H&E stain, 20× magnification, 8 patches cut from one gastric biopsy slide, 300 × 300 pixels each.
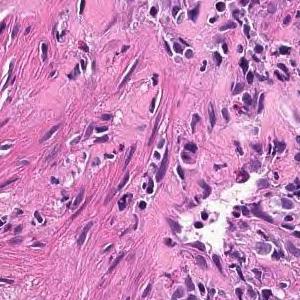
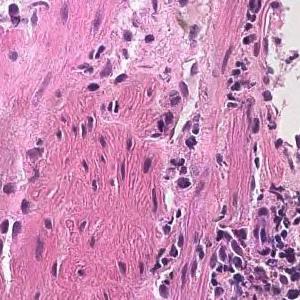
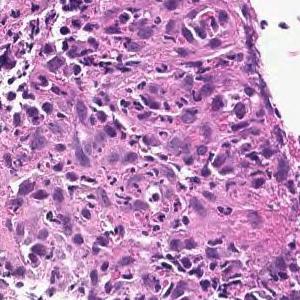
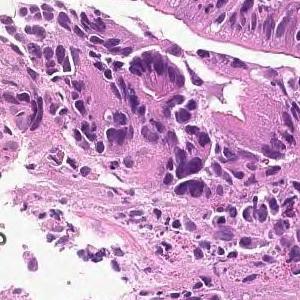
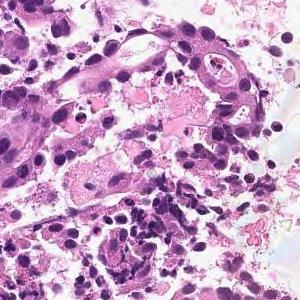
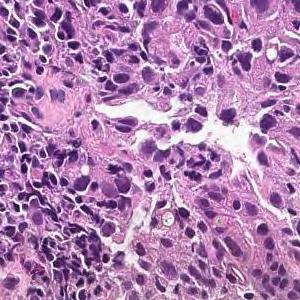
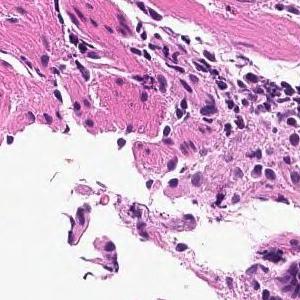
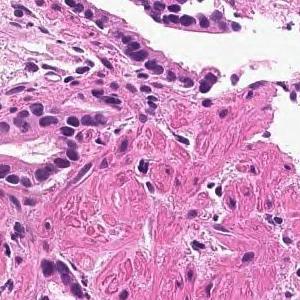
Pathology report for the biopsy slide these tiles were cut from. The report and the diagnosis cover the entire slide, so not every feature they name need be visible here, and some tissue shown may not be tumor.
On the superficial epithelium, tumor tissue consisting of large irregular glandular ducts partially fused and infiltrated is observed. Well to moderately differentiated tubular adenocarcinoma (well differentiated tubular adenocarcinoma, moderately differentiated tubular adenocarcinoma)
Subtype: Well to moderately differentiated tubular adenocarcinoma.
